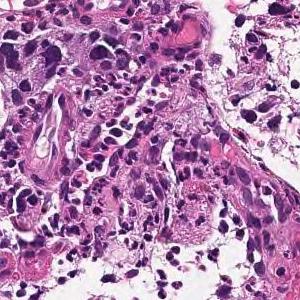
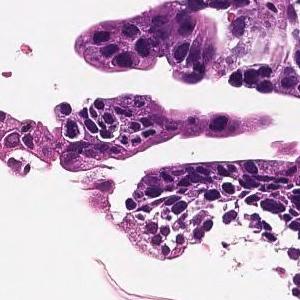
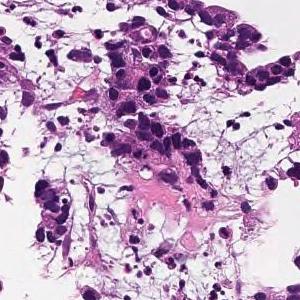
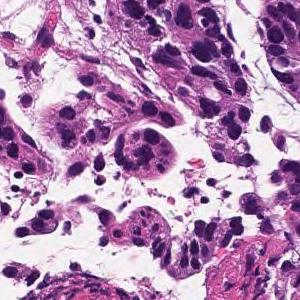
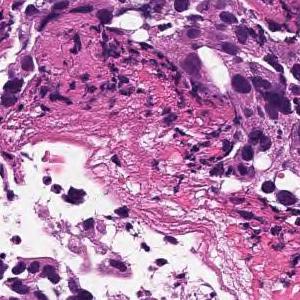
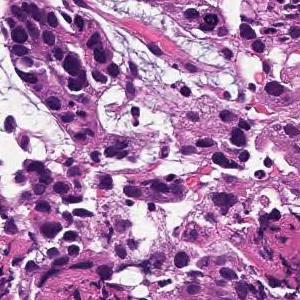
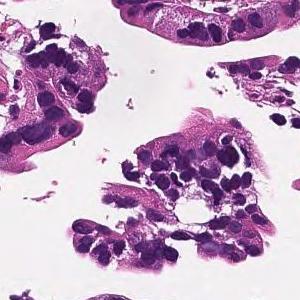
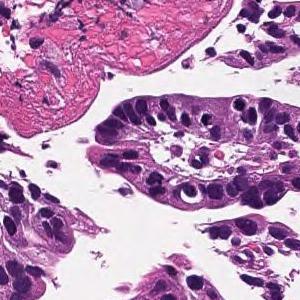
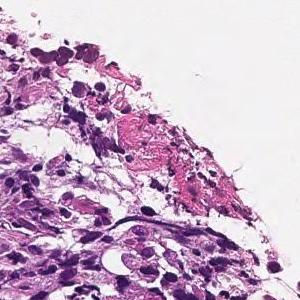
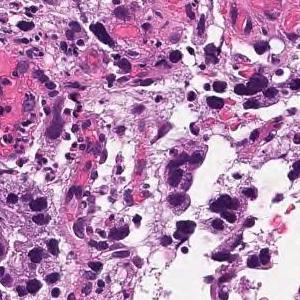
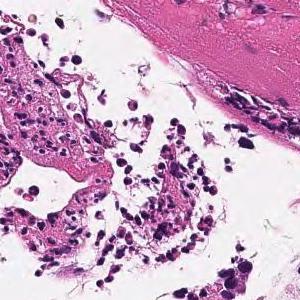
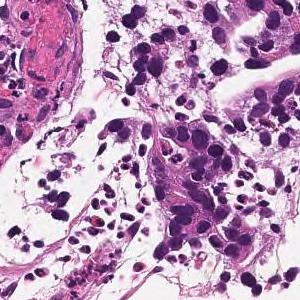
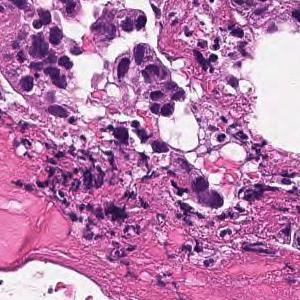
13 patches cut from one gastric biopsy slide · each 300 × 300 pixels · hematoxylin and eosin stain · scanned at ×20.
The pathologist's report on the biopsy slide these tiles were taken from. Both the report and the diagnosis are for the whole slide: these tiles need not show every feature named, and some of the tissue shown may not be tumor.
In the superficial epithelium, tumor tissue that invades by forming medium-sized to small, irregular ducts is observed. moderately differentiated tubular adenocarcinoma.
